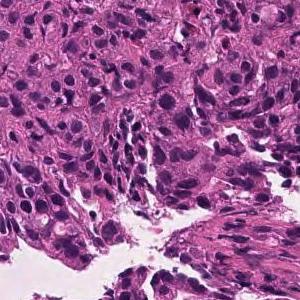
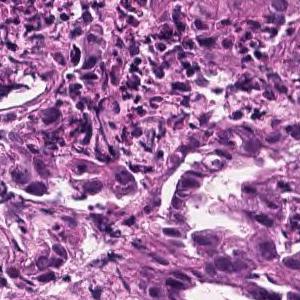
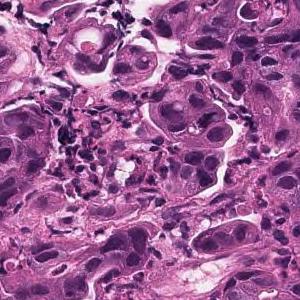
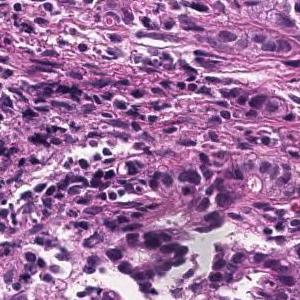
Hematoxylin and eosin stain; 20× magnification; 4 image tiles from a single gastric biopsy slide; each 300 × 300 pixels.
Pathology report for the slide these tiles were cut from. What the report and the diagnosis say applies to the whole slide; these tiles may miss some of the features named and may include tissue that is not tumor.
Tumor tissue consisting of medium-sized, cord-like or irregular glandular infiltration is observed in the superficial epithelium. Poorly differentiated adenocarcinoma, non-solid type or moderately differentiated tubular adenocarcinoma
The non-solid type named here is a Japanese Classification of Gastric Carcinoma category.
